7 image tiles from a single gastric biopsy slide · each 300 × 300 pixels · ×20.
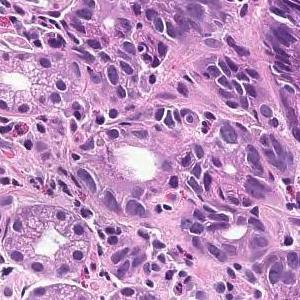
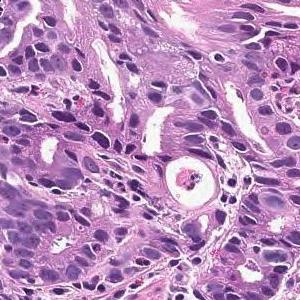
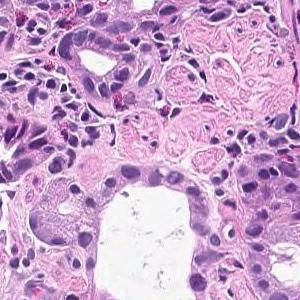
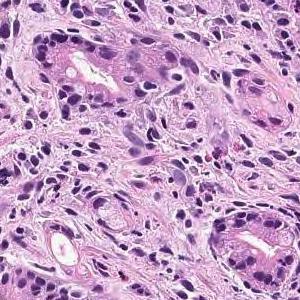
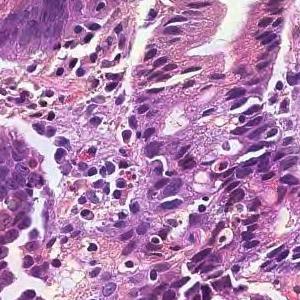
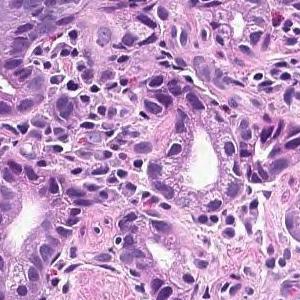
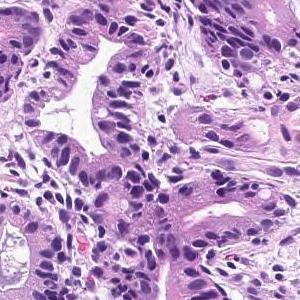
Pathology report for the slide these tiles were cut from. Both the report and the diagnosis are for the whole slide: these tiles need not show every feature named, and some of the tissue shown may not be tumor.
In the superficial epithelium, tumor tissue that invades by forming medium-sized to small, irregular ducts is observed. moderately differentiated tubular adenocarcinoma.
